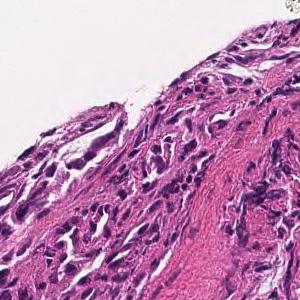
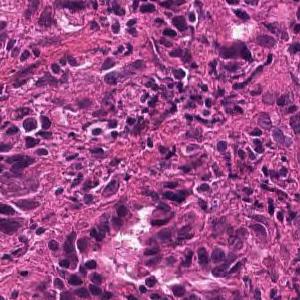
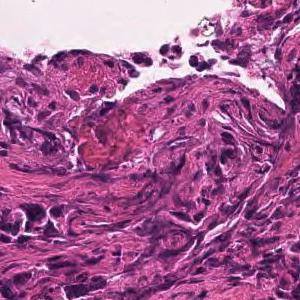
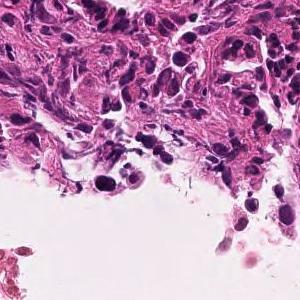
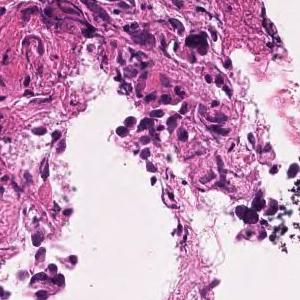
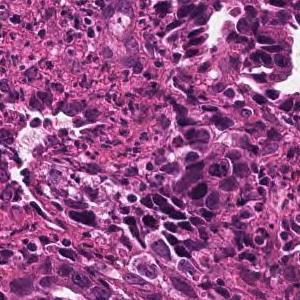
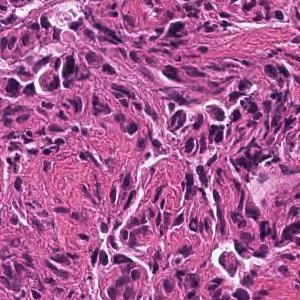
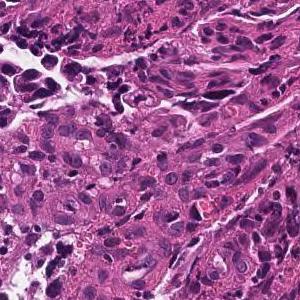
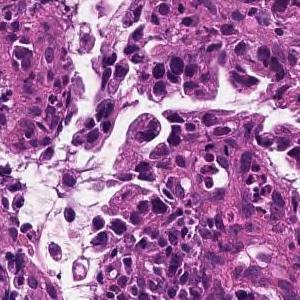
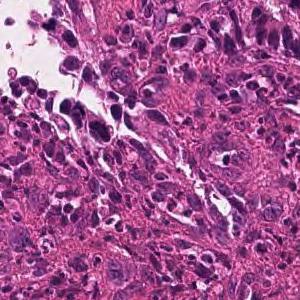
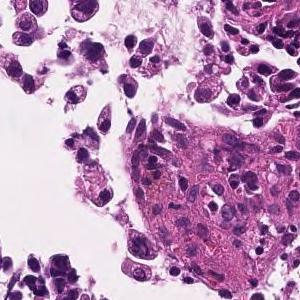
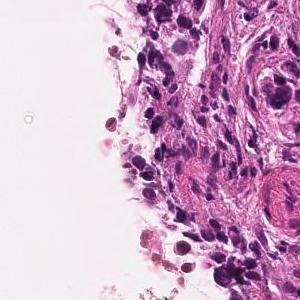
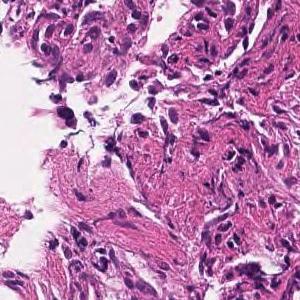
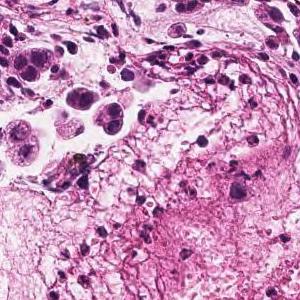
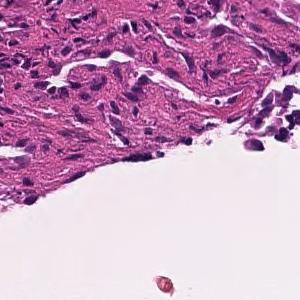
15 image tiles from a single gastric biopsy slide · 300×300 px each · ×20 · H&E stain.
Pathology report for the biopsy slide these tiles were cut from. What the report and the diagnosis say applies to the whole slide; these tiles may miss some of the features named and may include tissue that is not tumor.
In the superficial epithelium, tumor tissue that invades by forming medium-sized to small, irregular ducts is observed. moderately differentiated tubular adenocarcinoma.
